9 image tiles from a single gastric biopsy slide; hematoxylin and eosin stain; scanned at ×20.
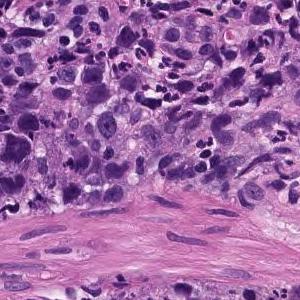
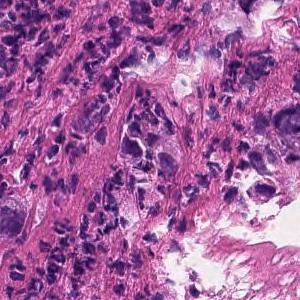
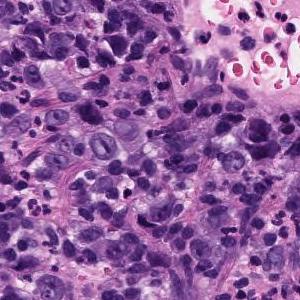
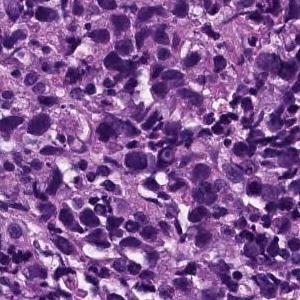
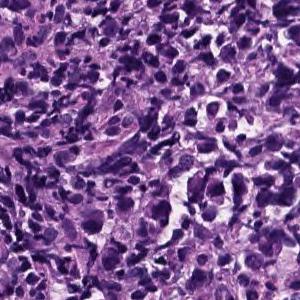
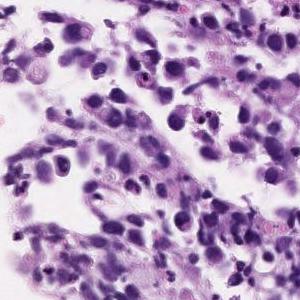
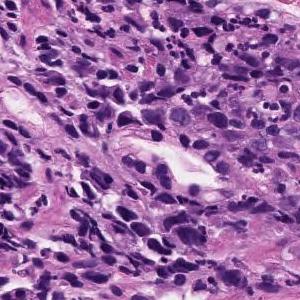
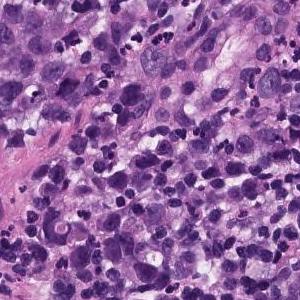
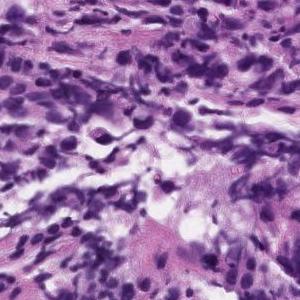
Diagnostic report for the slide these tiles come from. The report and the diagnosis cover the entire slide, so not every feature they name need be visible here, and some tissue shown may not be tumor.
Poorly differentiated, solid adenocarcinoma (poorly differentiated adenocarcinoma, solid type) with tumor tissue diffusely infiltrated with atypical epithelial cells
Tumor subtype: poorly differentiated adenocarcinoma, solid type, a category of the Japanese Classification of Gastric Carcinoma; in the WHO 2019 classification it is tubular adenocarcinoma, poorly differentiated.
